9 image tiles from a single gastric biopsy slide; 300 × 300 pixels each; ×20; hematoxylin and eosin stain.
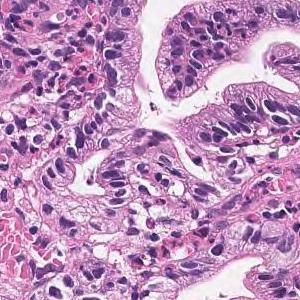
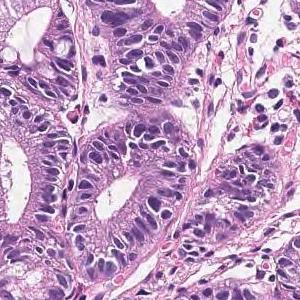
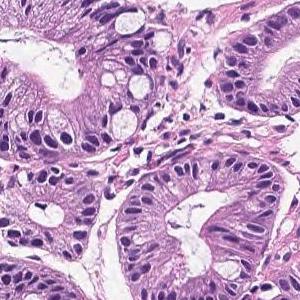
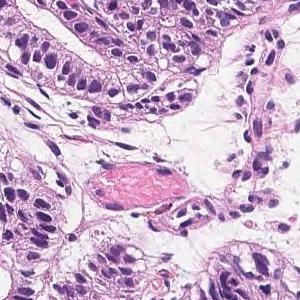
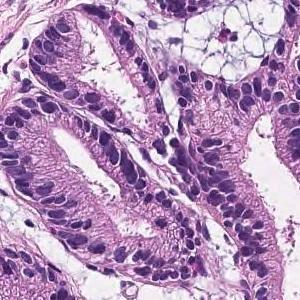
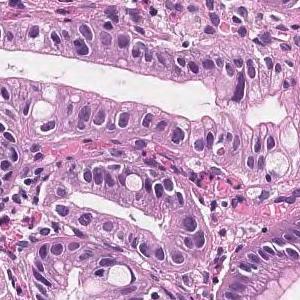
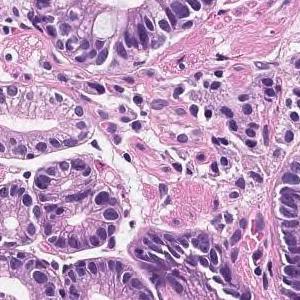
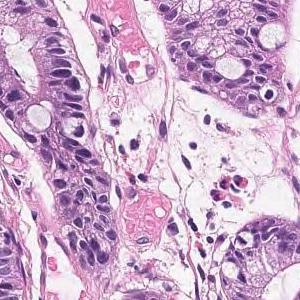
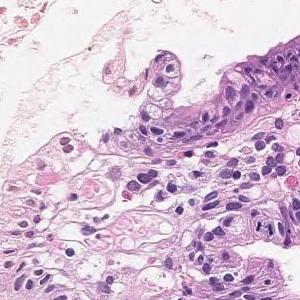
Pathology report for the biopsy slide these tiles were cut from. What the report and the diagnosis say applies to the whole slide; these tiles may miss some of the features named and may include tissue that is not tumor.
In the superficial epithelium, tumor tissue that invades by forming medium-sized to small, irregular ducts is observed. Well differentiated tubular adenocarcinoma.
